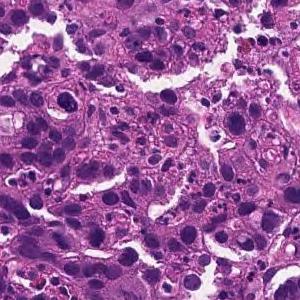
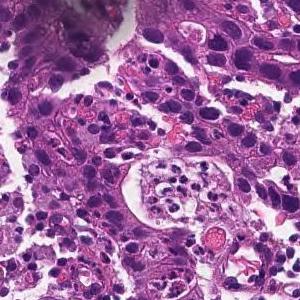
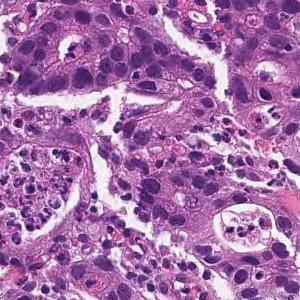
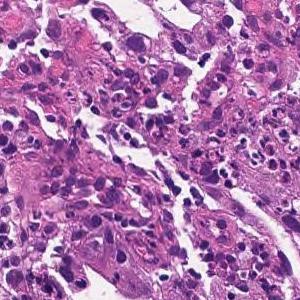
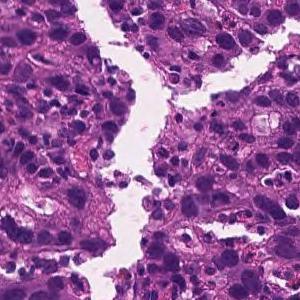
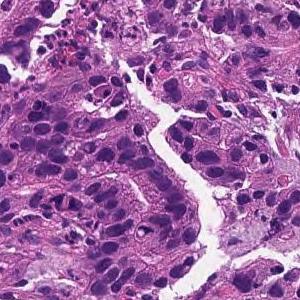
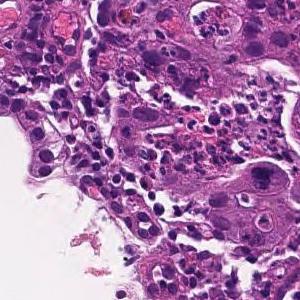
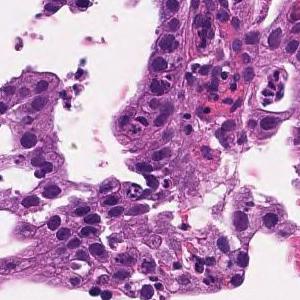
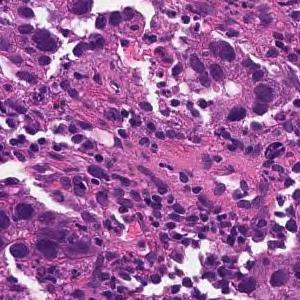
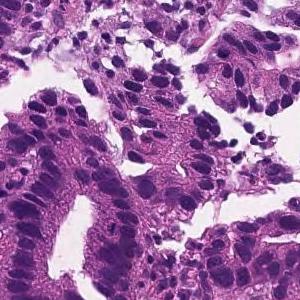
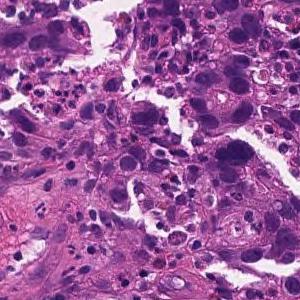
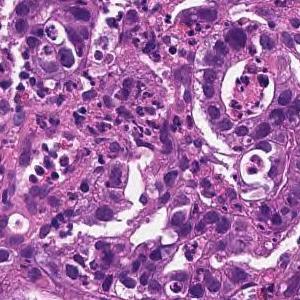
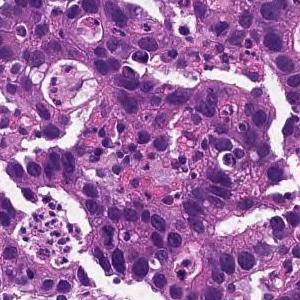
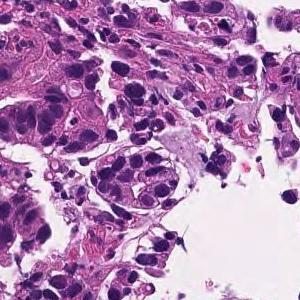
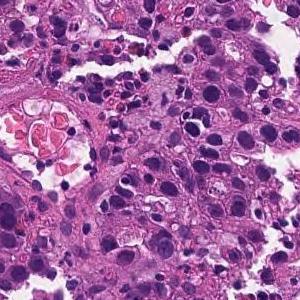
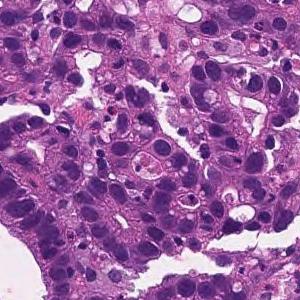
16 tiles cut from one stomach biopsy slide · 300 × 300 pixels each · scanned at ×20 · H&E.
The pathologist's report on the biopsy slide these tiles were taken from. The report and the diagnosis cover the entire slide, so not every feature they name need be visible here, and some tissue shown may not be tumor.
Medium to small, irregular glandular ducts are formed in the superficial epithelium, and in some cases, the glandular ducts are fused to show solid alveolar lesions and infiltrating tumor tissue is observed. Moderately to poorly differentiated adenocarcinoma.
